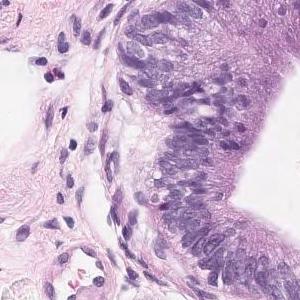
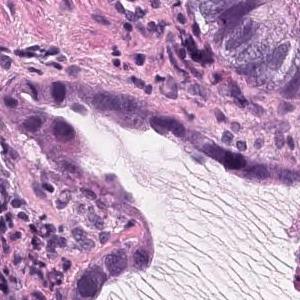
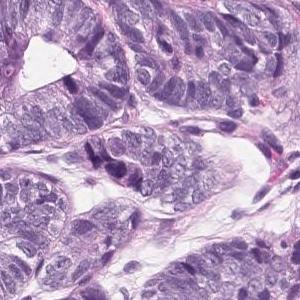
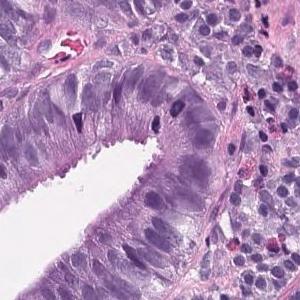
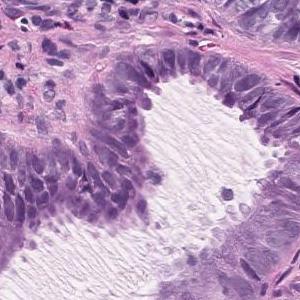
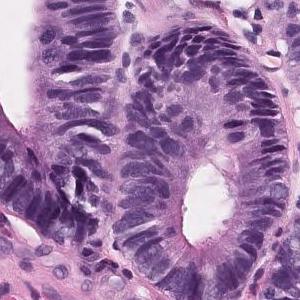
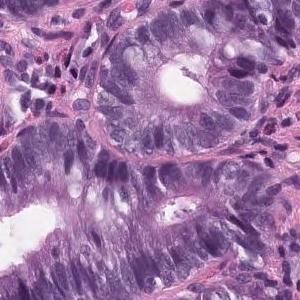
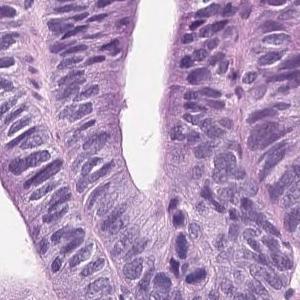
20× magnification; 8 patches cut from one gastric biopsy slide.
The pathologist's report on the biopsy slide these tiles were taken from. The report and the diagnosis cover the entire slide, so not every feature they name need be visible here, and some tissue shown may not be tumor.
Tumor tissue consisting of medium-sized and irregular ducts is observed infiltrating in the superficial epithelium. Tumor cells are highly columnar, with nuclei aligned basolaterally and polarized. Well differentiated tubular adenocarcinoma.
